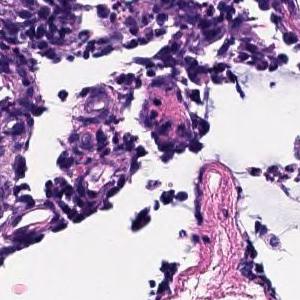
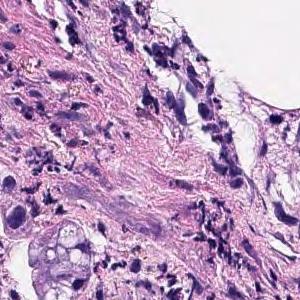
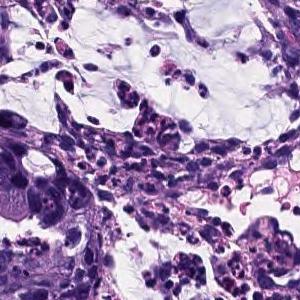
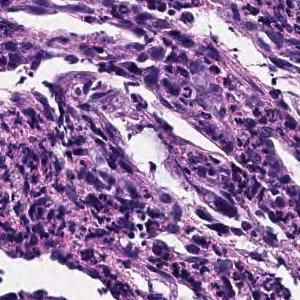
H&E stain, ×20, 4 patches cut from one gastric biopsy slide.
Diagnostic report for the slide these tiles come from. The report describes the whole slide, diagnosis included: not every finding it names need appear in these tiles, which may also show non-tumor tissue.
The superficial epithelium shows small cord-like infiltrating tumor tissue. Some part of neoplastic cells are signet ring cell type which show single invasion manner. Poorly differentiated adenocarcinoma, non-solid type.
The term "non-solid type" comes from the Japanese Classification of Gastric Carcinoma.
